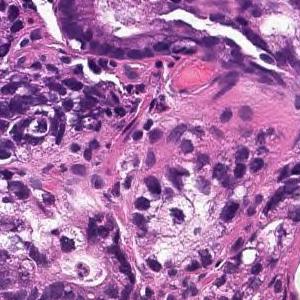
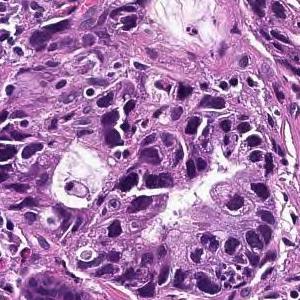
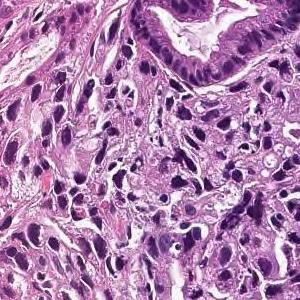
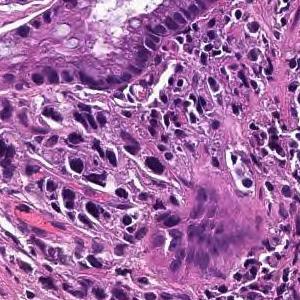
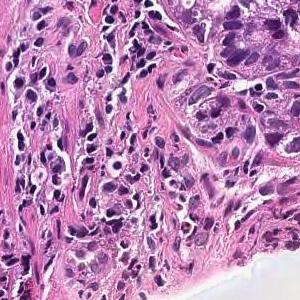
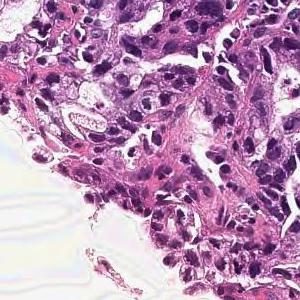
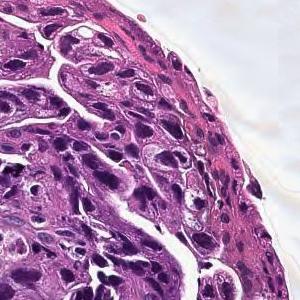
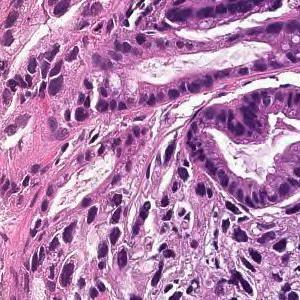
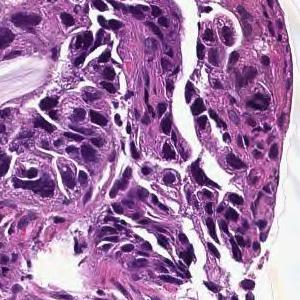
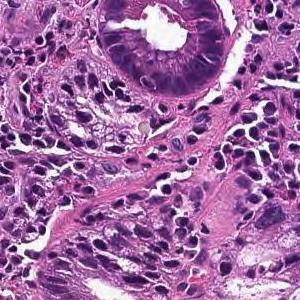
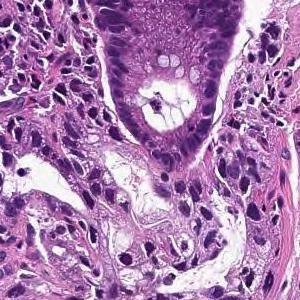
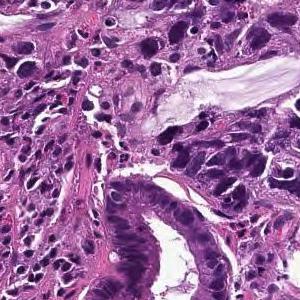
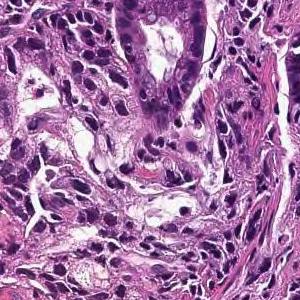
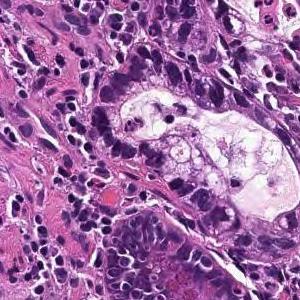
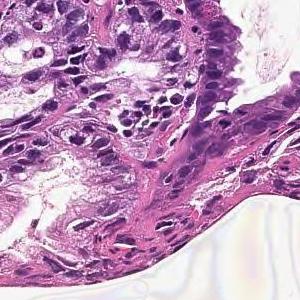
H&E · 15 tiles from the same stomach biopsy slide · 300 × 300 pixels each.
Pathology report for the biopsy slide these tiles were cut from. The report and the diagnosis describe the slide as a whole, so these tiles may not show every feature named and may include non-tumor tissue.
In the superficial epithelium, tumor tissue that invades by forming medium-sized to small, irregular ducts is observed. moderately differentiated tubular adenocarcinoma.
